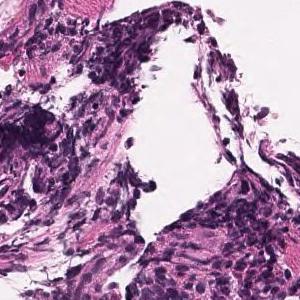
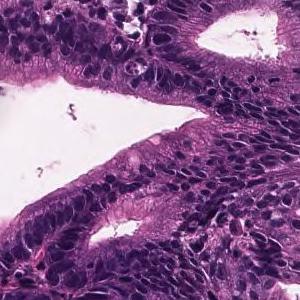
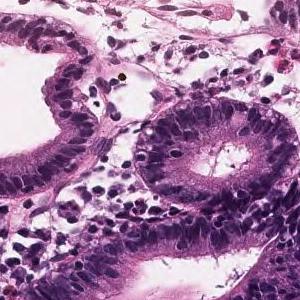
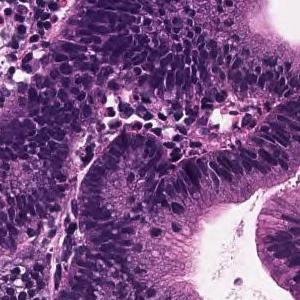
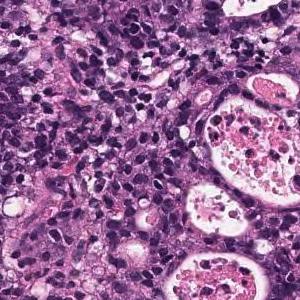
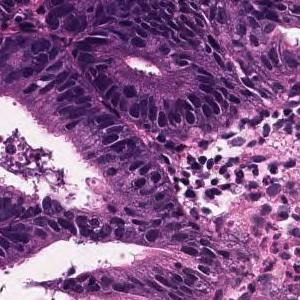
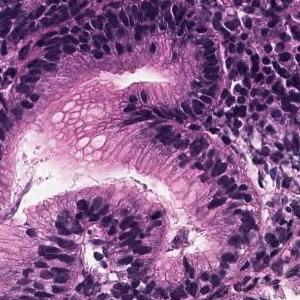
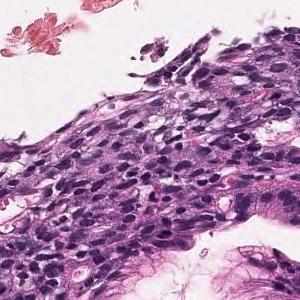
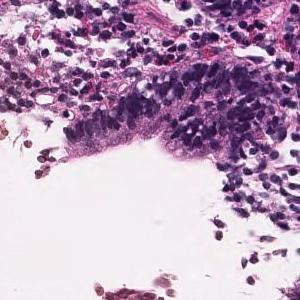
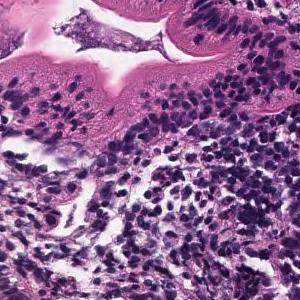
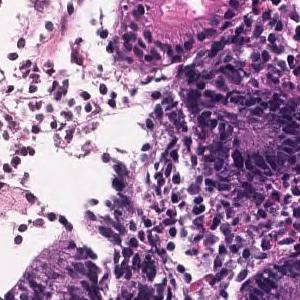
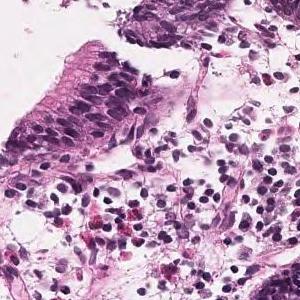
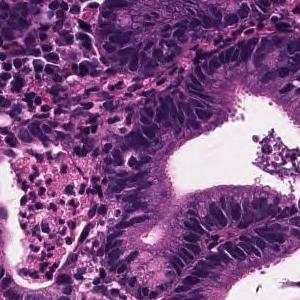
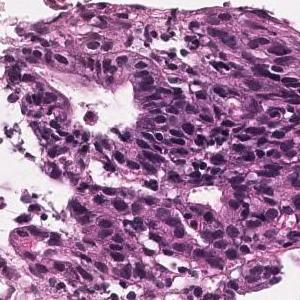
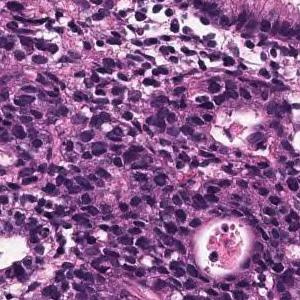
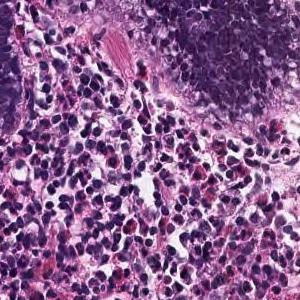
16 tiles from the same stomach biopsy slide · each 300 × 300 pixels · 20× magnification · hematoxylin and eosin stain.
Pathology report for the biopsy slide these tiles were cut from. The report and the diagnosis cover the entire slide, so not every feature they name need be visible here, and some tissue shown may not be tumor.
Atypical epithelium with swelling of the nucleus and pseudostratified shows tumor tissue that grows with irregular branching. Well differentiated tubular adenocarcinoma
